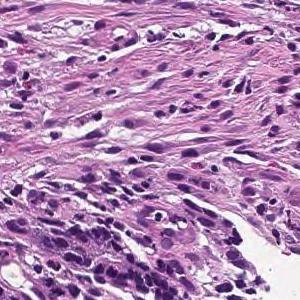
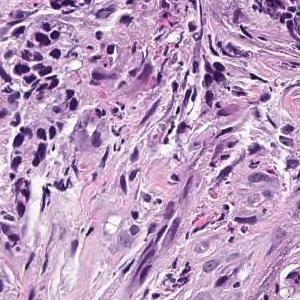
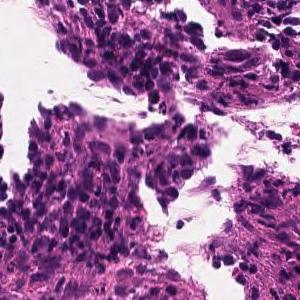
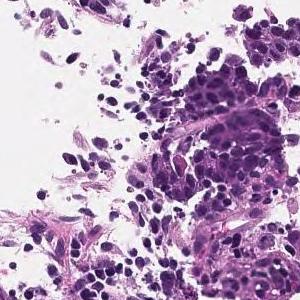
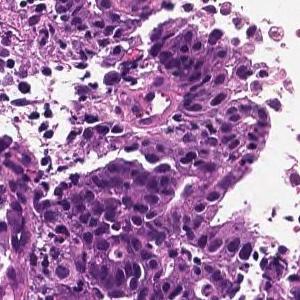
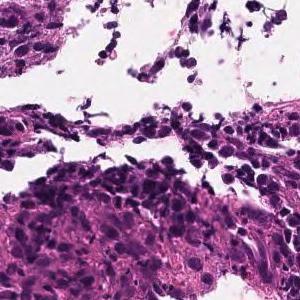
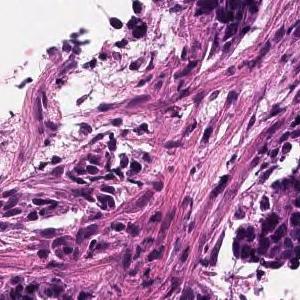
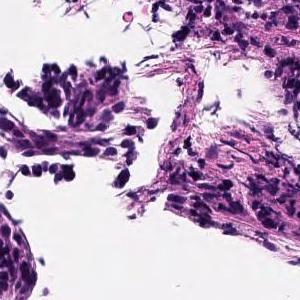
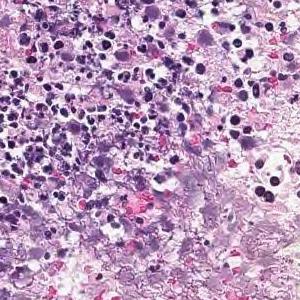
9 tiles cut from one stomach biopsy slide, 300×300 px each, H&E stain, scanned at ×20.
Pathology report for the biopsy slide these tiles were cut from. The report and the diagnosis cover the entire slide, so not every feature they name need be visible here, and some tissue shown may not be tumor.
In the superficial epithelium, tumor tissue that invades by forming medium-sized to small, irregular ducts is observed. moderately differentiated tubular adenocarcinoma.
